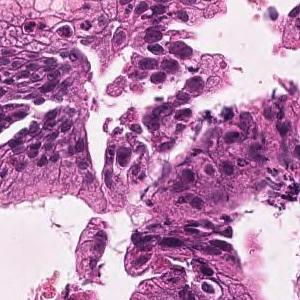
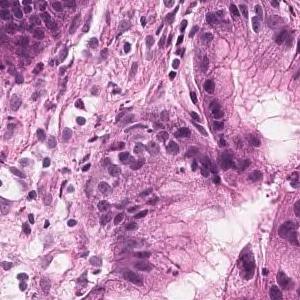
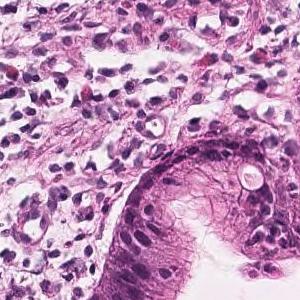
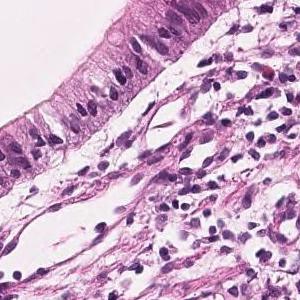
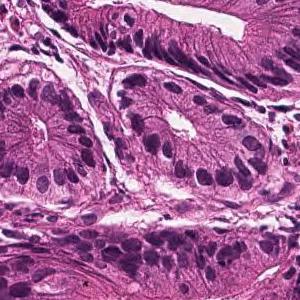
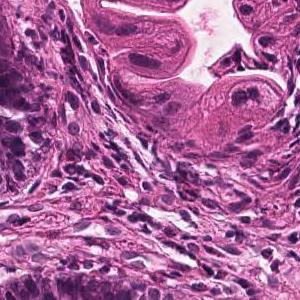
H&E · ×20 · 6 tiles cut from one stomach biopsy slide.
Pathology report for the biopsy slide these tiles were cut from. Both the report and the diagnosis are for the whole slide: these tiles need not show every feature named, and some of the tissue shown may not be tumor.
Tumor tissue consisting of medium-sized and irregular ducts is observed infiltrating in the superficial epithelium. Tumor cells are highly columnar, with nuclei aligned basolaterally and polarized. Well differentiated tubular adenocarcinoma.
